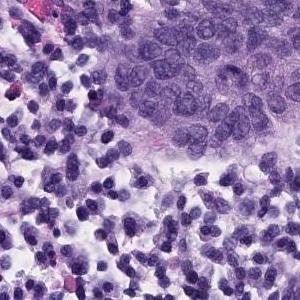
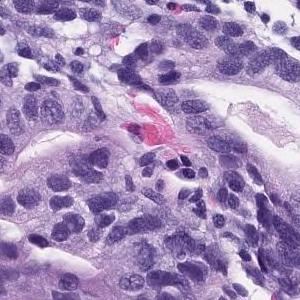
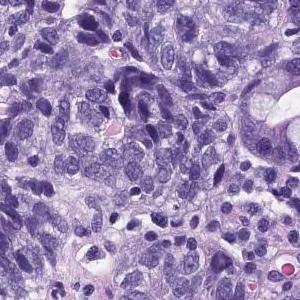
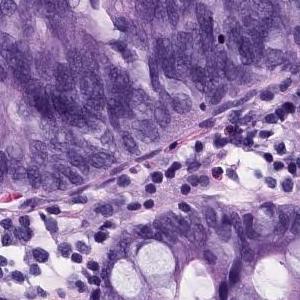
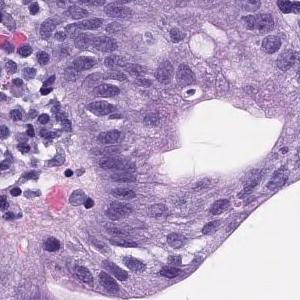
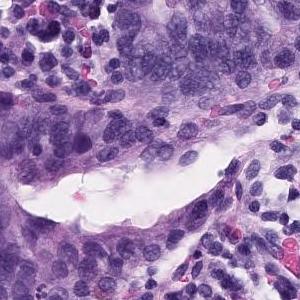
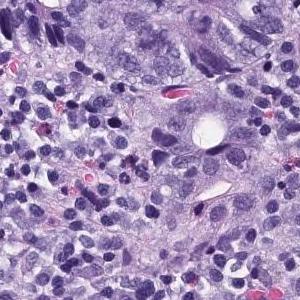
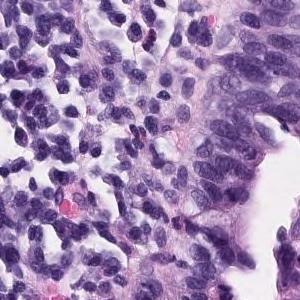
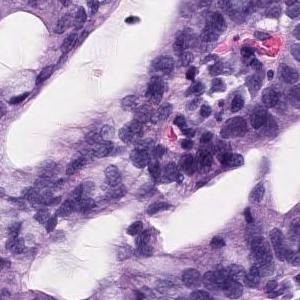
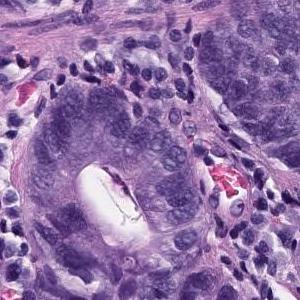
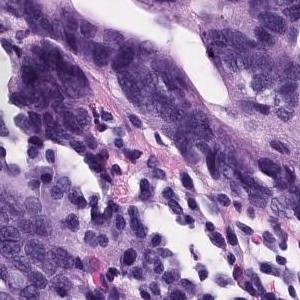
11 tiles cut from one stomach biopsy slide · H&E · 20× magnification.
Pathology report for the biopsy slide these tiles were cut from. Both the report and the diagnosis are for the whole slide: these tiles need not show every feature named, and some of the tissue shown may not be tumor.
In the superficial epithelium, tumor tissue that invades by forming medium-sized to small, irregular ducts is observed. Moderately differentiated adenocarcinoma.
Tumor subtype: moderately differentiated tubular adenocarcinoma.
